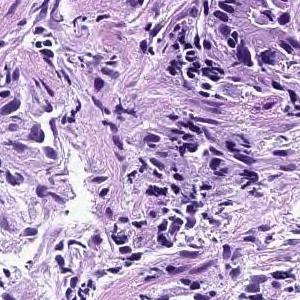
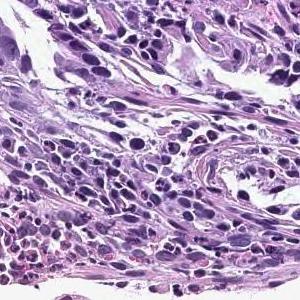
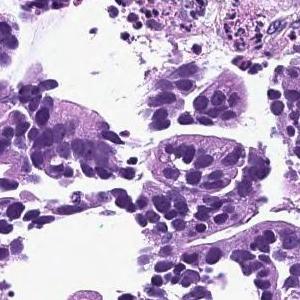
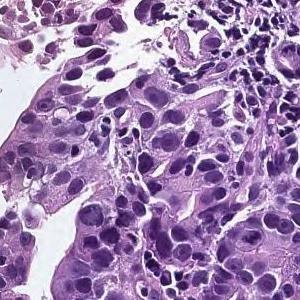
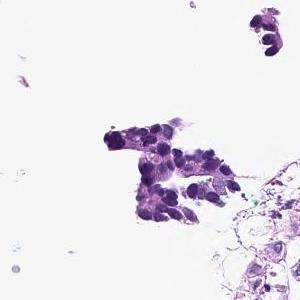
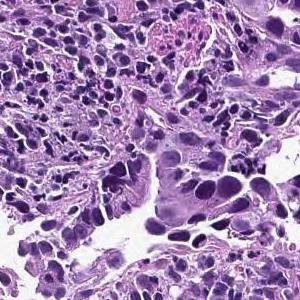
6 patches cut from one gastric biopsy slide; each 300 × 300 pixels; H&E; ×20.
The pathologist's report on the biopsy slide these tiles were taken from. The report describes the whole slide, diagnosis included: not every finding it names need appear in these tiles, which may also show non-tumor tissue.
In the superficial epithelium, tumor tissue that invades by forming medium-sized to small, irregular ducts is observed. moderately differentiated tubular adenocarcinoma.
